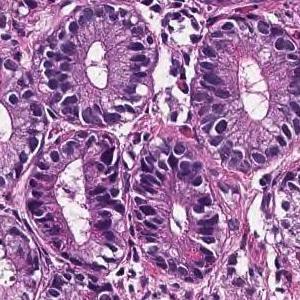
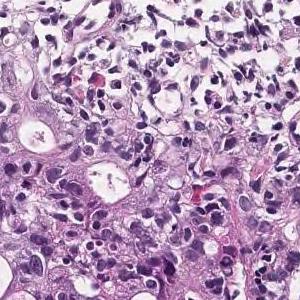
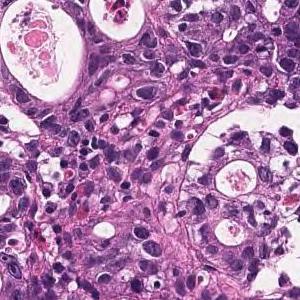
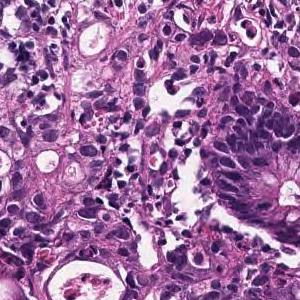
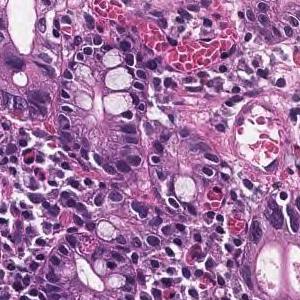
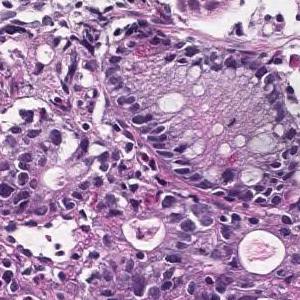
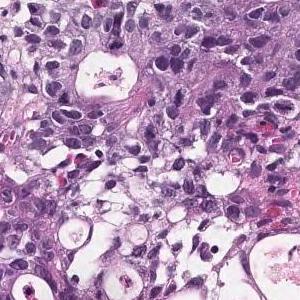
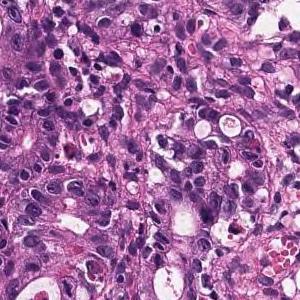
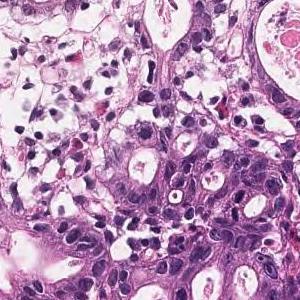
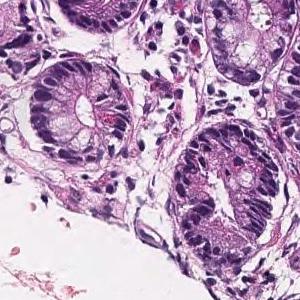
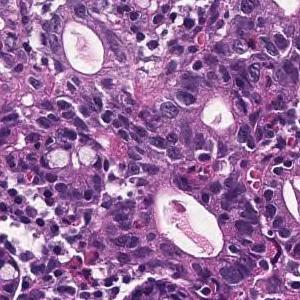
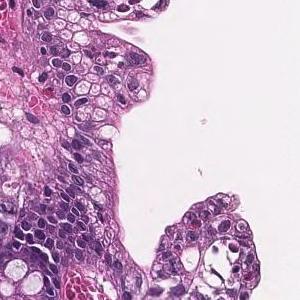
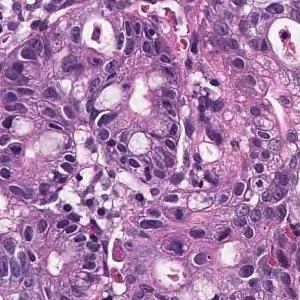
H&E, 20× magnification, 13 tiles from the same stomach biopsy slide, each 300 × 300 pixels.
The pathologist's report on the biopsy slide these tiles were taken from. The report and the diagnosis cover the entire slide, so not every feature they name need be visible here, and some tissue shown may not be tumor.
In the superficial epithelium, tumor tissue that invades by forming medium-sized to small, irregular ducts is observed. Moderately differentiated adenocarcinoma.
Histologic type: Moderately differentiated tubular adenocarcinoma.
